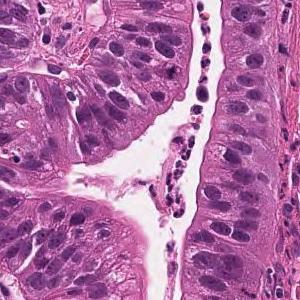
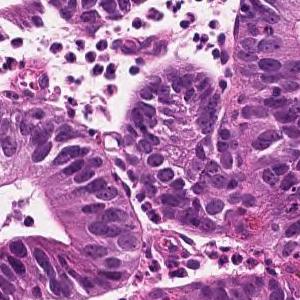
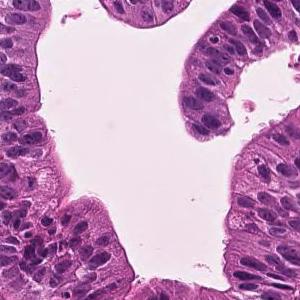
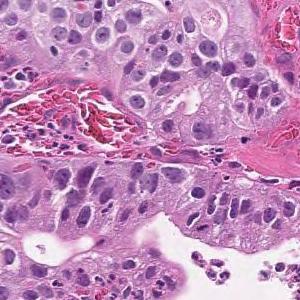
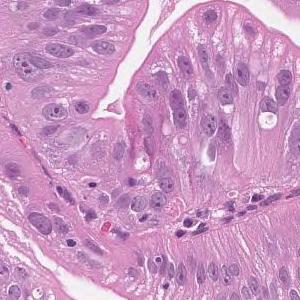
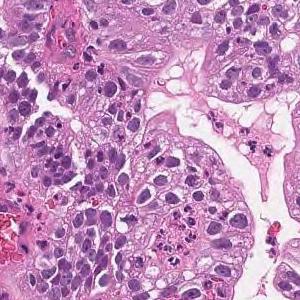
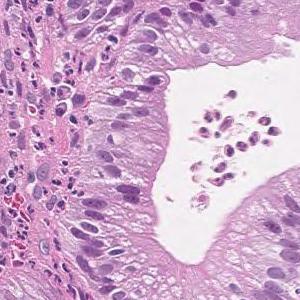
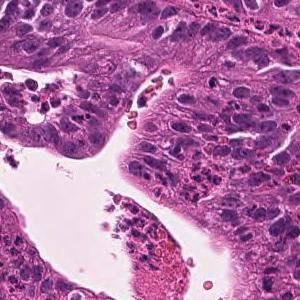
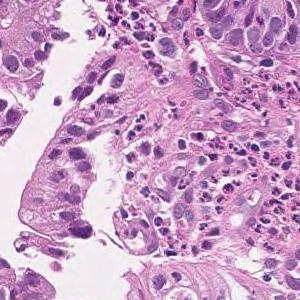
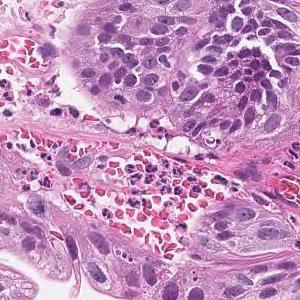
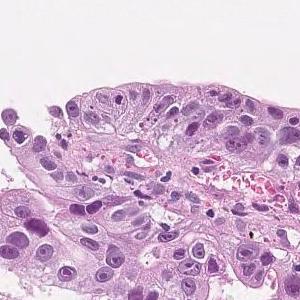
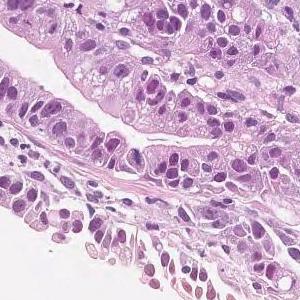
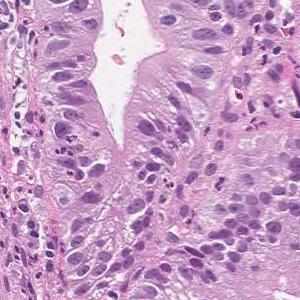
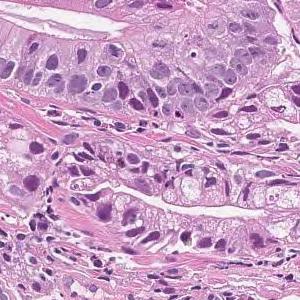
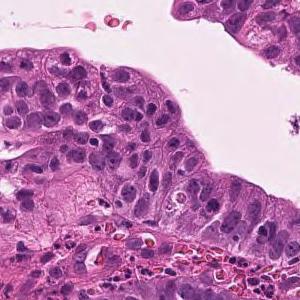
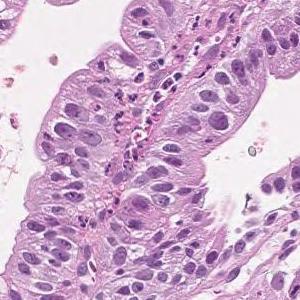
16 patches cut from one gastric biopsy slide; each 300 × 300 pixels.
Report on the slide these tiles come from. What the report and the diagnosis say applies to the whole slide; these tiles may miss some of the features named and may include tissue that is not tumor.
Tumor cells are large, highly columnar, large club-shaped nuclei, and are associated with chromatin aggregation. Papillary adenocarcinoma.
